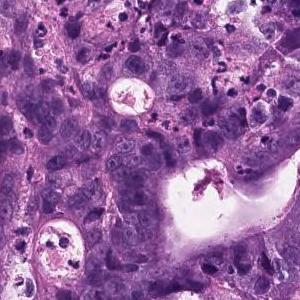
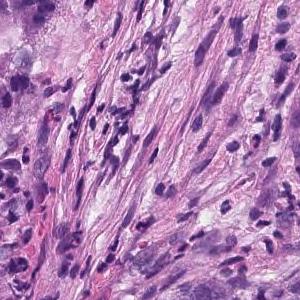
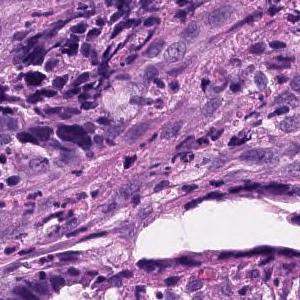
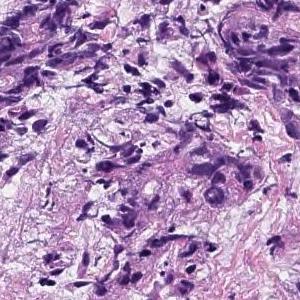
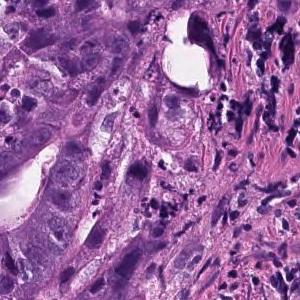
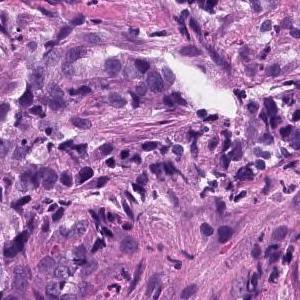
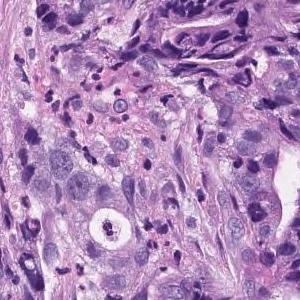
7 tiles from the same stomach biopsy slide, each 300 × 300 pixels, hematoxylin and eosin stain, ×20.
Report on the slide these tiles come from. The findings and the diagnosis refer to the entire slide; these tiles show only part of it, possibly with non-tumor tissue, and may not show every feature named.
Medium to small, irregular glandular ducts are formed in the superficial epithelium, and in some cases, the glandular ducts are fused to show solid alveolar lesions and infiltrating tumor tissue is observed. Moderately to poorly differentiated adenocarcinoma.
